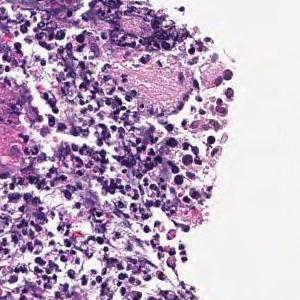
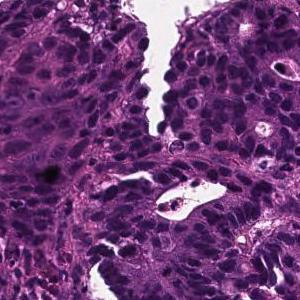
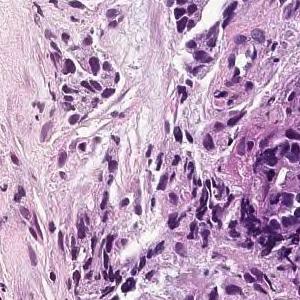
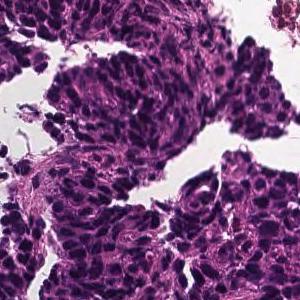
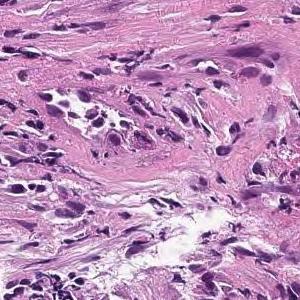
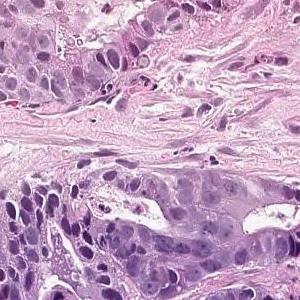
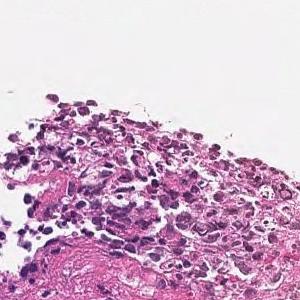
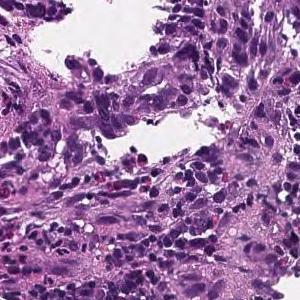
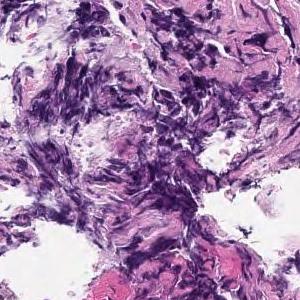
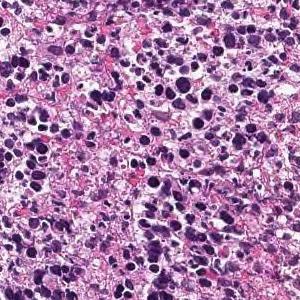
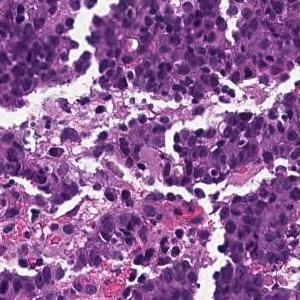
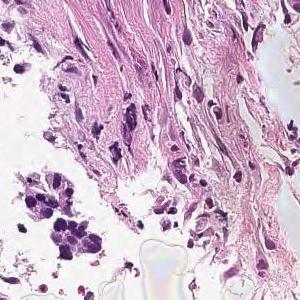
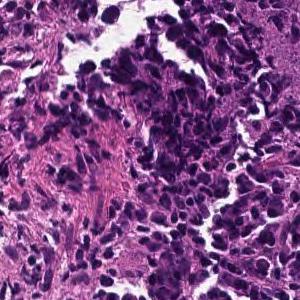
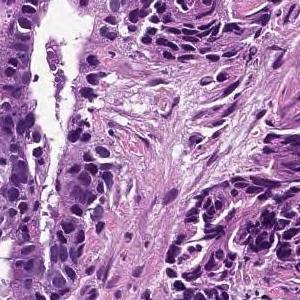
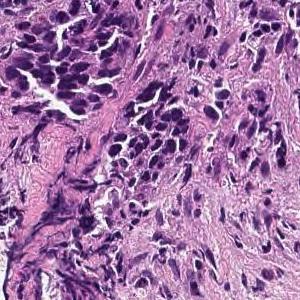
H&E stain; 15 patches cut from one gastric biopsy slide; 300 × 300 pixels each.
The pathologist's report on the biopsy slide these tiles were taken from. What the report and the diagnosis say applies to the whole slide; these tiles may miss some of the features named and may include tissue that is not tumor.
In the superficial epithelium, tumor tissue that invades by forming medium-sized to small, irregular ducts is observed. moderately differentiated tubular adenocarcinoma.
